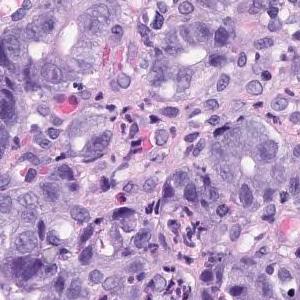
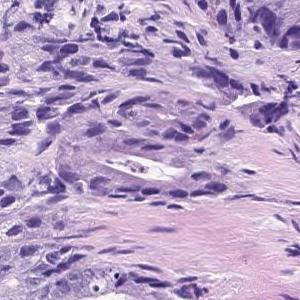
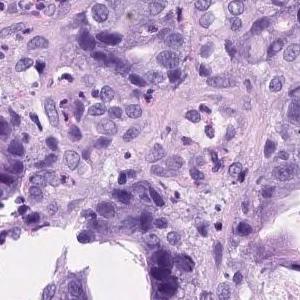
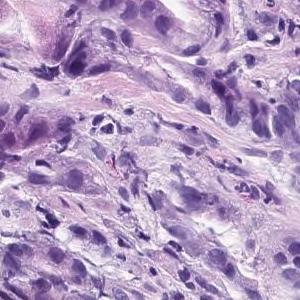
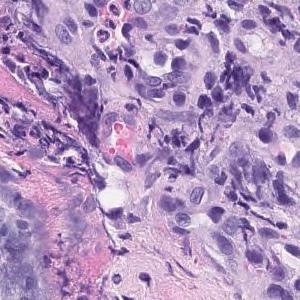
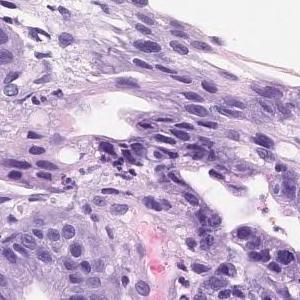
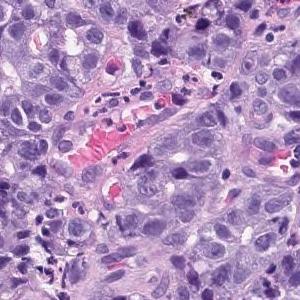
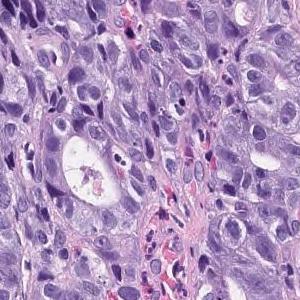
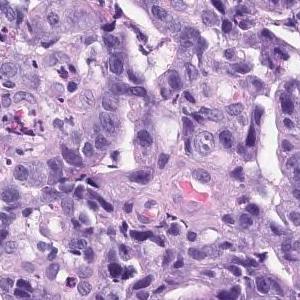
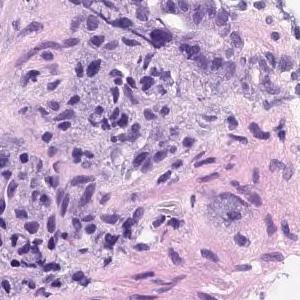
×20, hematoxylin and eosin stain, 10 patches cut from one gastric biopsy slide, each 300 × 300 pixels.
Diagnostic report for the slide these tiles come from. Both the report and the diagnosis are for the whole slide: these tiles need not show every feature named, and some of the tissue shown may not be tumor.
In the superficial epithelium, tumor tissue that invades by forming medium-sized to small, irregular ducts is observed. Moderately differentiated adenocarcinoma.
Classified as moderately differentiated tubular adenocarcinoma.
